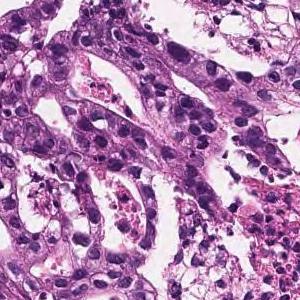
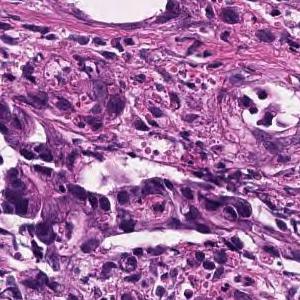
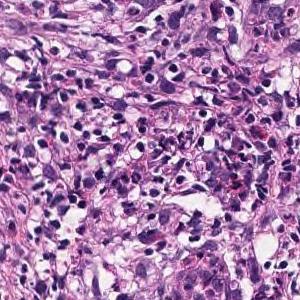
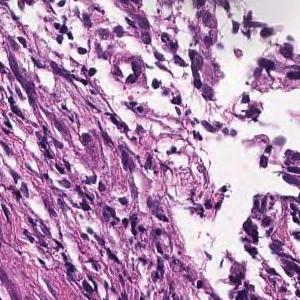
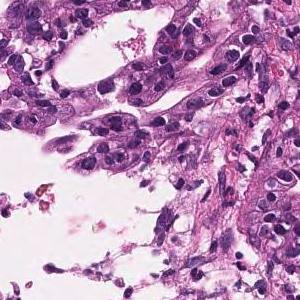
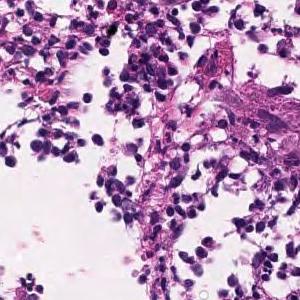
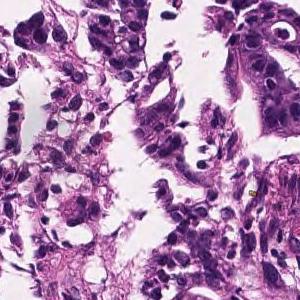
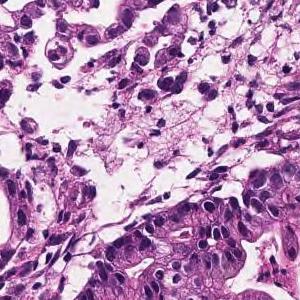
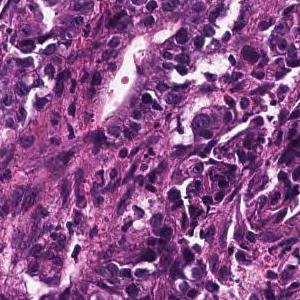
9 patches cut from one gastric biopsy slide; scanned at ×20; H&E stain.
Pathology report for the slide these tiles were cut from. Both the report and the diagnosis are for the whole slide: these tiles need not show every feature named, and some of the tissue shown may not be tumor.
In the superficial epithelium, medium to small, irregular gland ducts are formed, and in some cases, the gland ducts are fused to show solid alveolar lesions and infiltrating tumor tissue is observed. Moderately to poorly differentiated adenocarcinoma.
